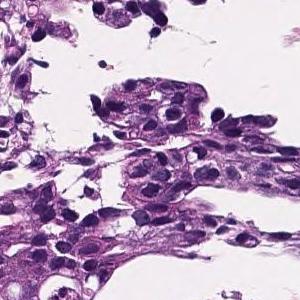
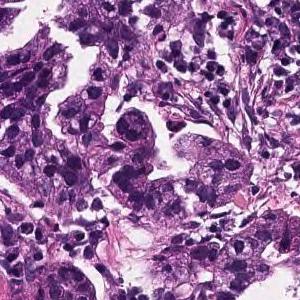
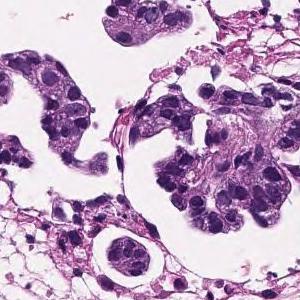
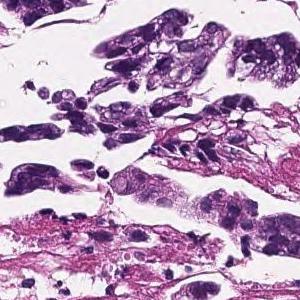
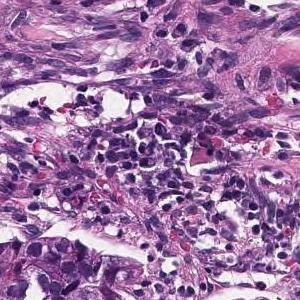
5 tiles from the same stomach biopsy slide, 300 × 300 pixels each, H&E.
Diagnostic report for the slide these tiles come from. The report describes the whole slide, diagnosis included: not every finding it names need appear in these tiles, which may also show non-tumor tissue.
In the lamina propria, tumor tissue that invades by forming medium-sized to small, irregular glandular ducts is observed. moderately differentiated tubular adenocarcinoma
